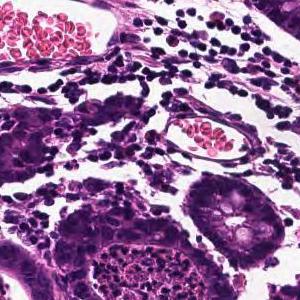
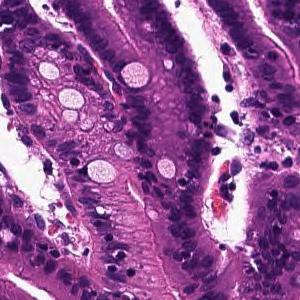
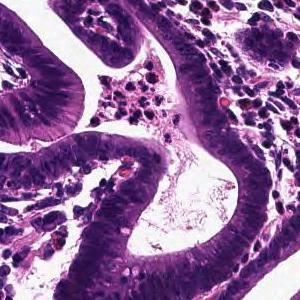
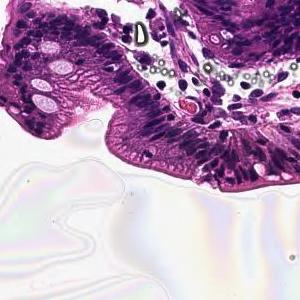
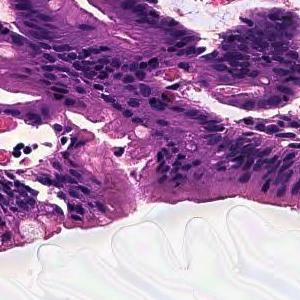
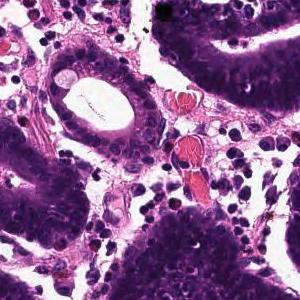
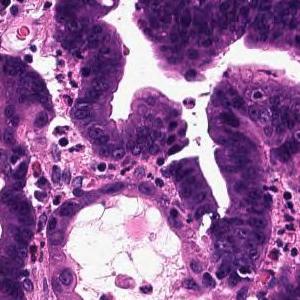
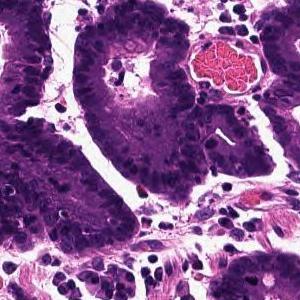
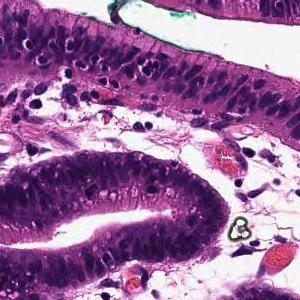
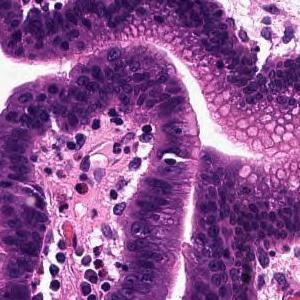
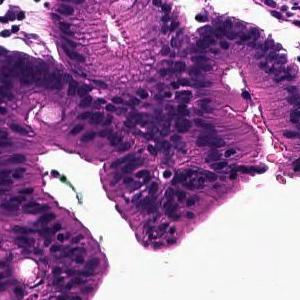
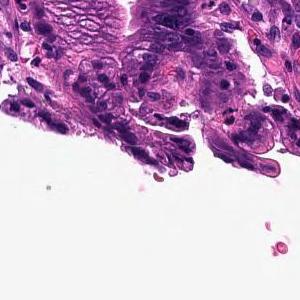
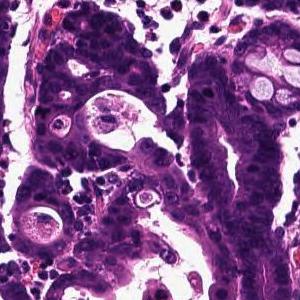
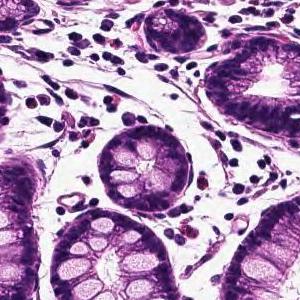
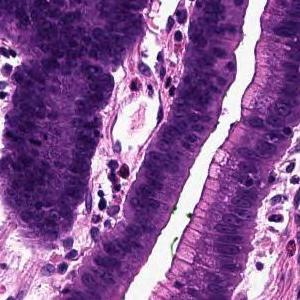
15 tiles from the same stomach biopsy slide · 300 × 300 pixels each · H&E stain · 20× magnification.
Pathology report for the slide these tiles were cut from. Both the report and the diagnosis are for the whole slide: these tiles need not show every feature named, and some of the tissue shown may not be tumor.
Tumor tissue that infiltrates by forming large papillary or large irregular glandular ducts is observed confined to the mucosa. Papillary adenocarcinoma
